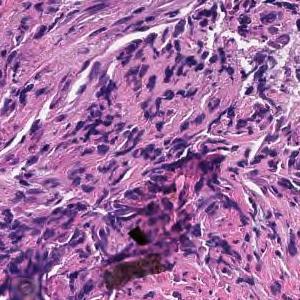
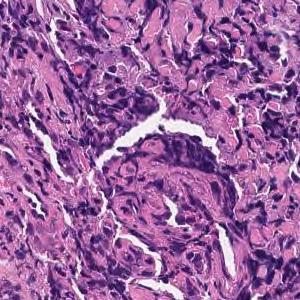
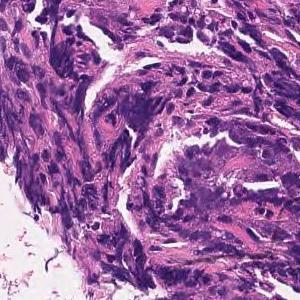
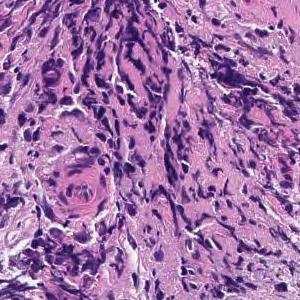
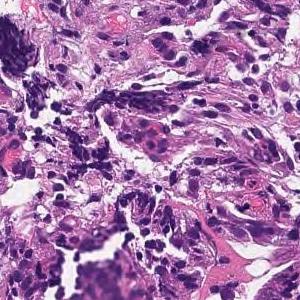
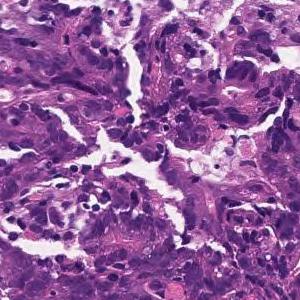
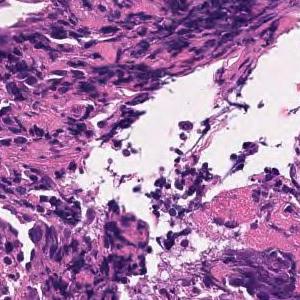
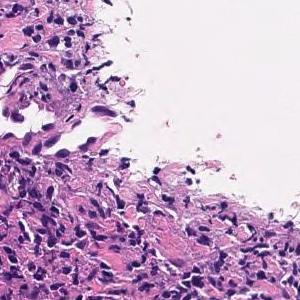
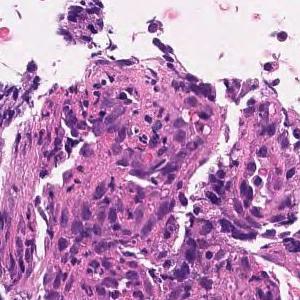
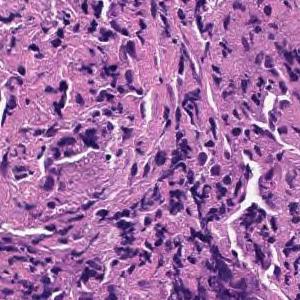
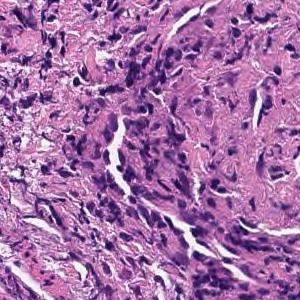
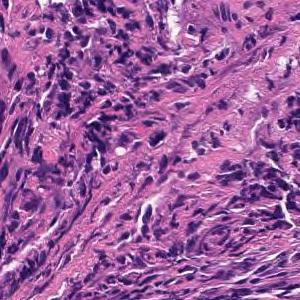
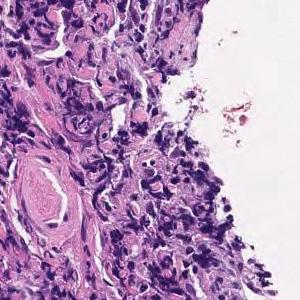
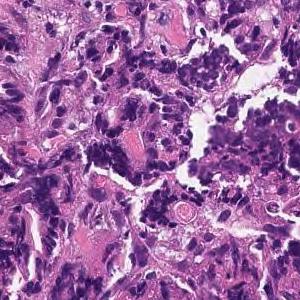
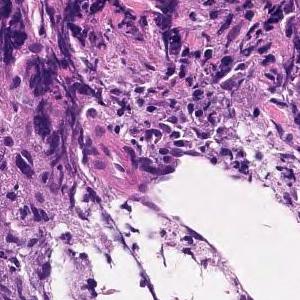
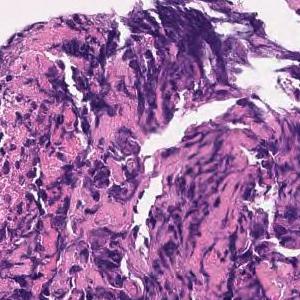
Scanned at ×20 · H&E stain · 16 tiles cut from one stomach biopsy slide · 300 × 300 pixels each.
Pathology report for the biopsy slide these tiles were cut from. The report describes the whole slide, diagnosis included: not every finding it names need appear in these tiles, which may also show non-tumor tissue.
Tumor tissue consisting of medium-sized, cord-like or irregular glandular infiltration is observed in the superficial epithelium. Poorly differentiated adenocarcinoma, non-solid type or moderately differentiated tubular adenocarcinoma
Histologic type: Moderately to poorly differentiated adenocarcinoma.
The non-solid type named here is a Japanese Classification of Gastric Carcinoma category.
